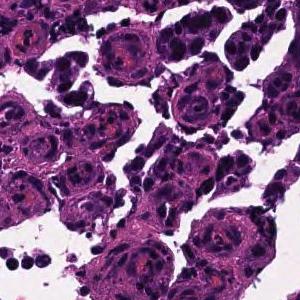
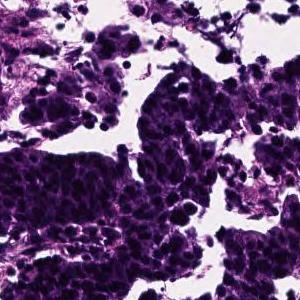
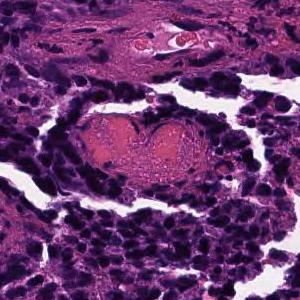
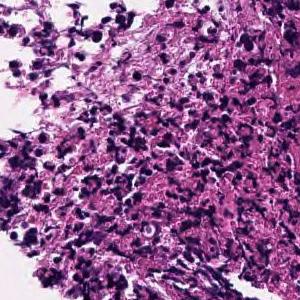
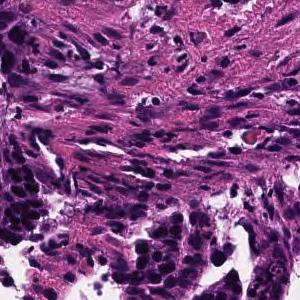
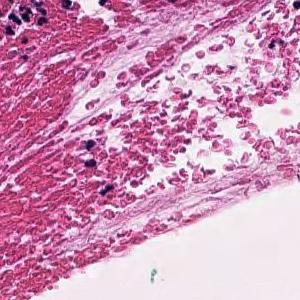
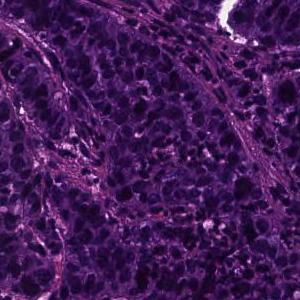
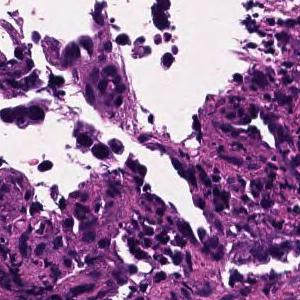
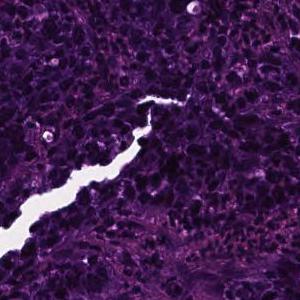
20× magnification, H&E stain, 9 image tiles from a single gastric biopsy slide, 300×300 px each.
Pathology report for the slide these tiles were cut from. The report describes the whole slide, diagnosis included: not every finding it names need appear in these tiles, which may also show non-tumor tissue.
In the superficial epithelium, tumor tissue that invades by forming medium-sized to small, irregular ducts is observed. moderately differentiated tubular adenocarcinoma.
